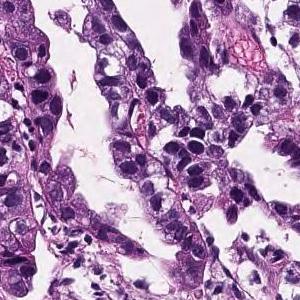
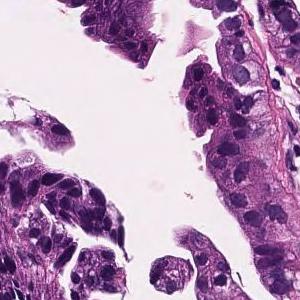
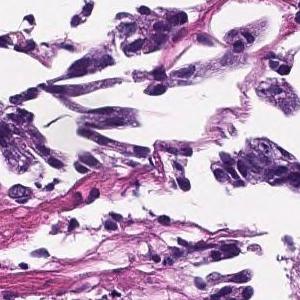
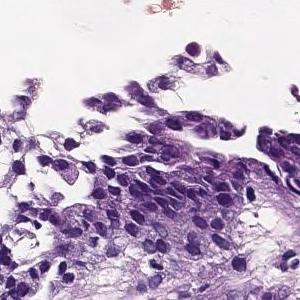
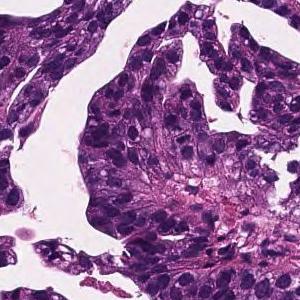
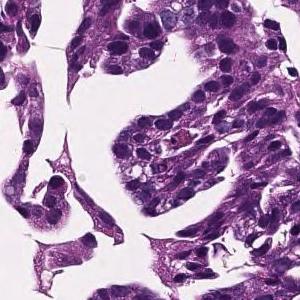
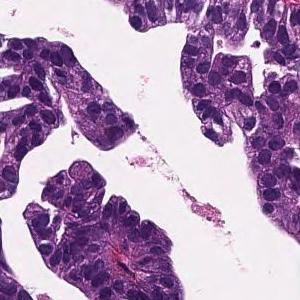
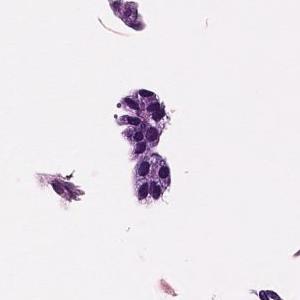
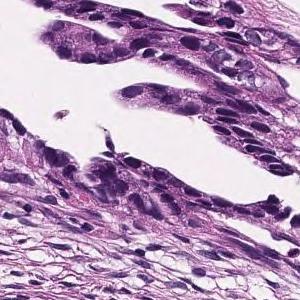
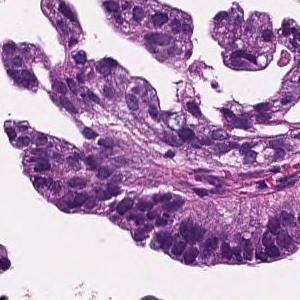
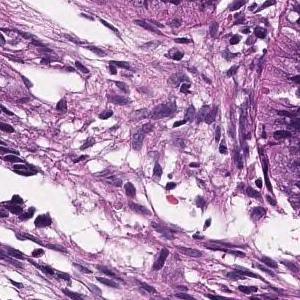
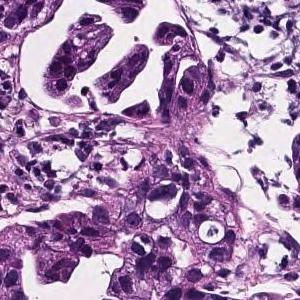
12 patches cut from one gastric biopsy slide · hematoxylin and eosin stain.
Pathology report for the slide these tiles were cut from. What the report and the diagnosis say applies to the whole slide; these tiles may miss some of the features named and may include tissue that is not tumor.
In the lamina propria, tumor tissue that invades by forming medium-sized to small, irregular glandular ducts is observed. moderately differentiated tubular adenocarcinoma
